14 image tiles from a single gastric biopsy slide · 300 × 300 pixels each · ×20.
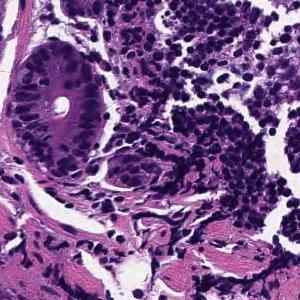
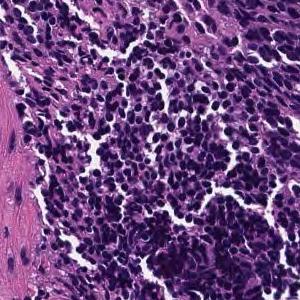
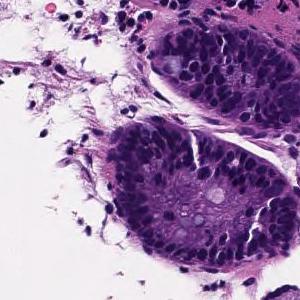
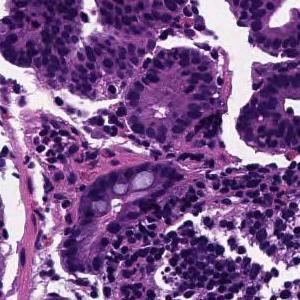
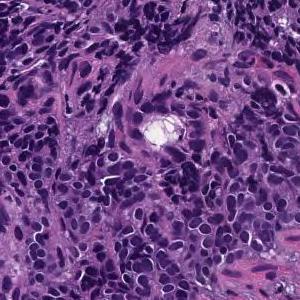
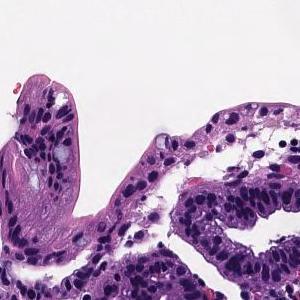
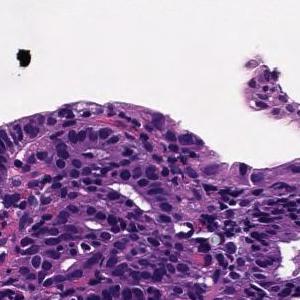
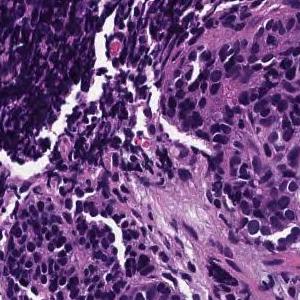
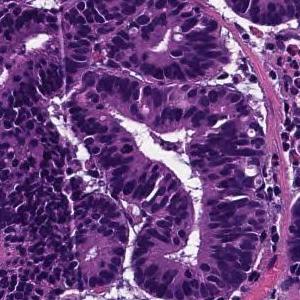
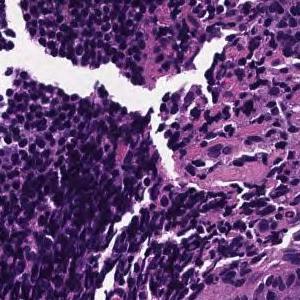
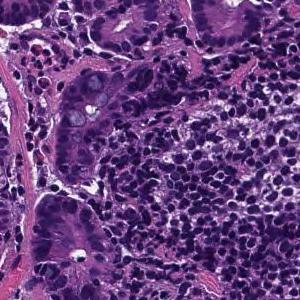
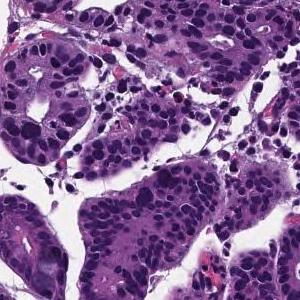
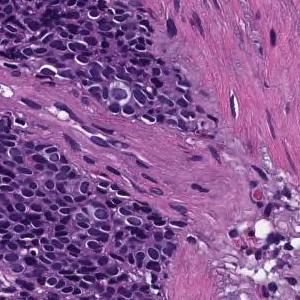
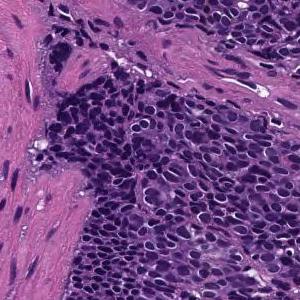
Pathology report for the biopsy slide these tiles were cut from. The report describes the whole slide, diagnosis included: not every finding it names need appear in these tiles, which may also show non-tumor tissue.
Tumor tissue consisting of medium-sized, cord-like or irregular glandular infiltration is observed in the superficial epithelium. Poorly differentiated adenocarcinoma, non-solid type or moderately differentiated tubular adenocarcinoma
Tumor subtype: moderately to poorly differentiated adenocarcinoma.
The non-solid type named here is a Japanese Classification of Gastric Carcinoma category.
